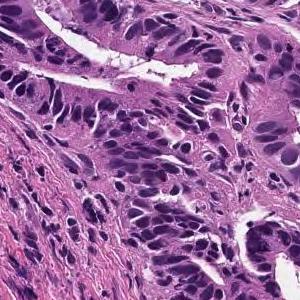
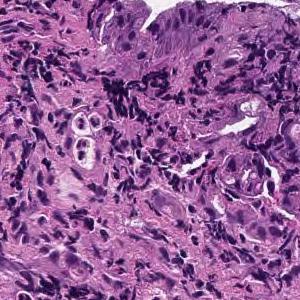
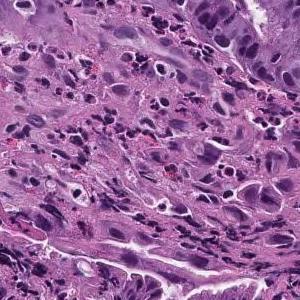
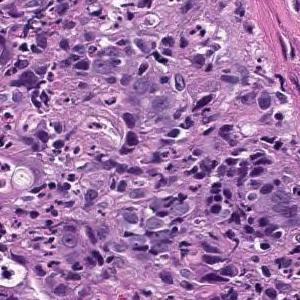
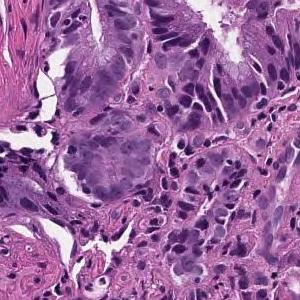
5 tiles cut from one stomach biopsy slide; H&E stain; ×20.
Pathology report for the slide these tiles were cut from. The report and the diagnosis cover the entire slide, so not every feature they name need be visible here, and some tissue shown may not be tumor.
On the superficial epithelium, tumor tissue consisting of large, irregular glandular ducts partially fused and infiltrated is observed. Well to moderately differentiated tubular adenocarcinoma (well differentiated tubular adenocarcinoma, moderately differentiated tubular adenocarcinoma)
Tumor subtype: well to moderately differentiated tubular adenocarcinoma.
